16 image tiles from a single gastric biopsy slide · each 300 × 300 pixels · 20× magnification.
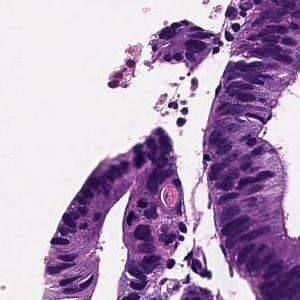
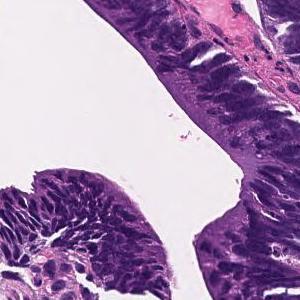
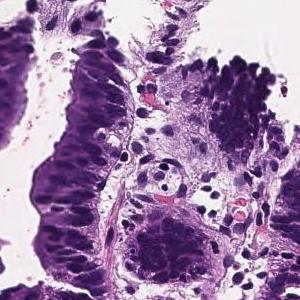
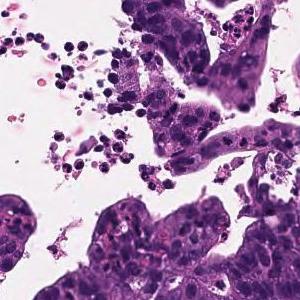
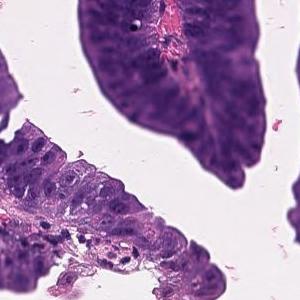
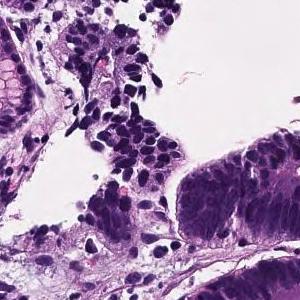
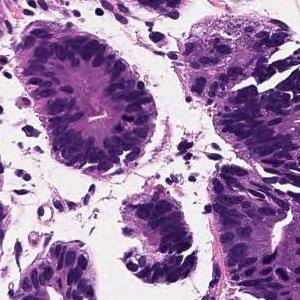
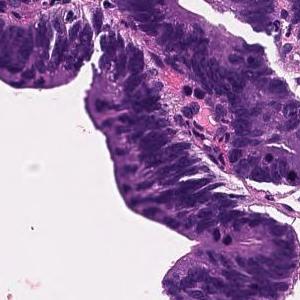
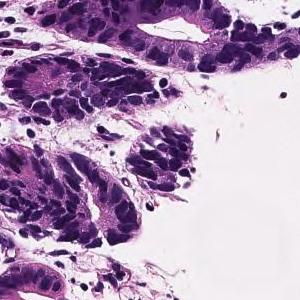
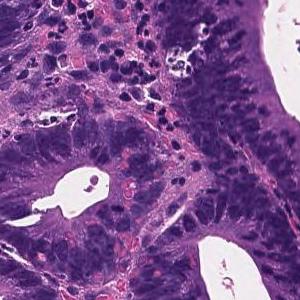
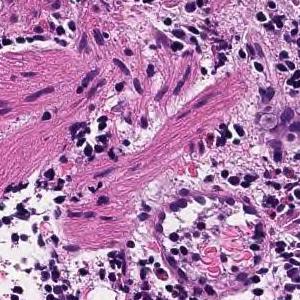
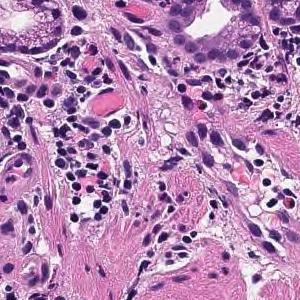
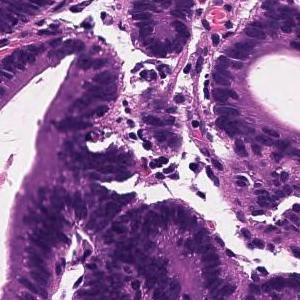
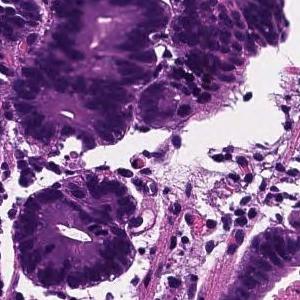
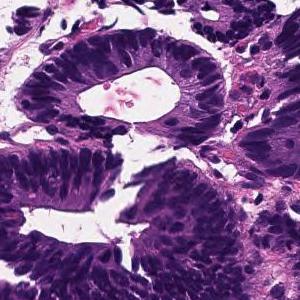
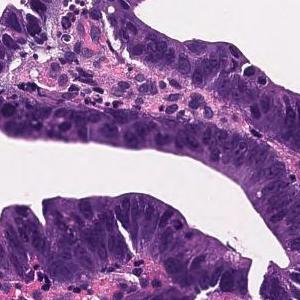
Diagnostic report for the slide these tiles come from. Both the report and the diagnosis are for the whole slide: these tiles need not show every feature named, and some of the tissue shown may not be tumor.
Tumor tissue consisting of large papillary structures is found in the superficial epithelium. Papillary adenocarcinoma.
